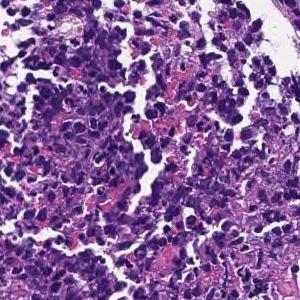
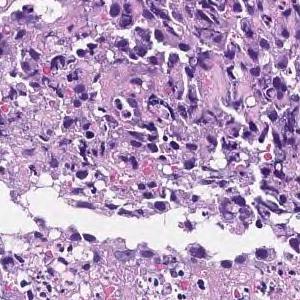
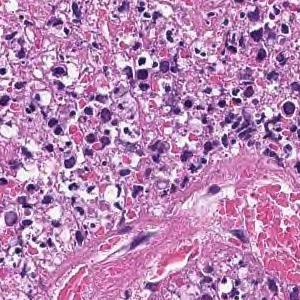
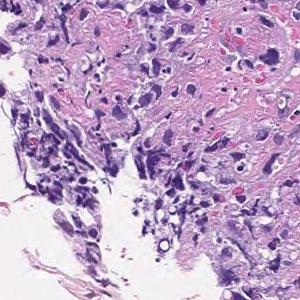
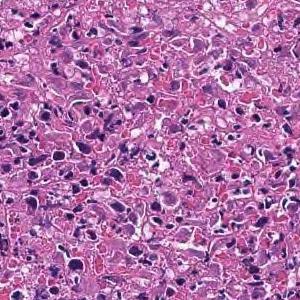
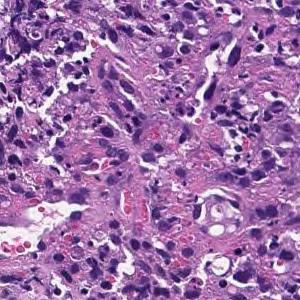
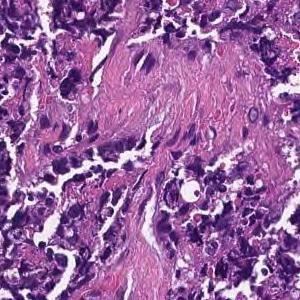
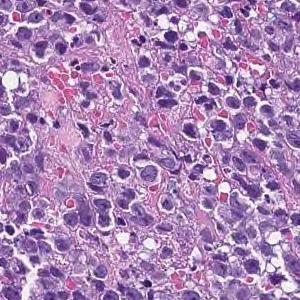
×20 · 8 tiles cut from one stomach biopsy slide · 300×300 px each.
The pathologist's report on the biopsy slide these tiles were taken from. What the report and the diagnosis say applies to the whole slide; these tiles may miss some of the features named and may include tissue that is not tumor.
Most are composed of coagulative necrotic tissue, but some show a large sheet-like shape, and some show tumor tissue infiltrating with a small cord-like structure. Poorly differentiated adenocarcinoma, solid-type
Classified as poorly differentiated adenocarcinoma, solid type (Japanese Classification of Gastric Carcinoma). The WHO 2019 equivalent is tubular adenocarcinoma, poorly differentiated.
